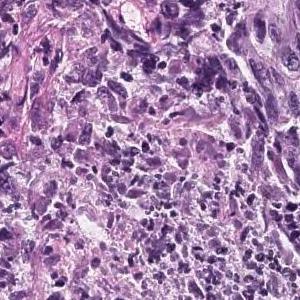
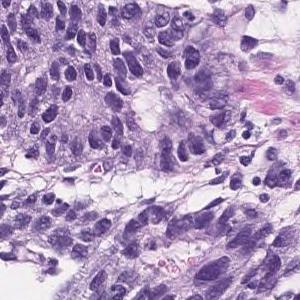
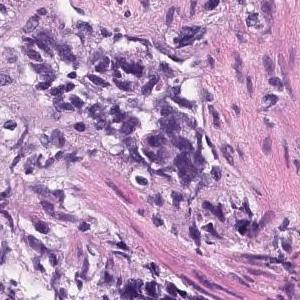
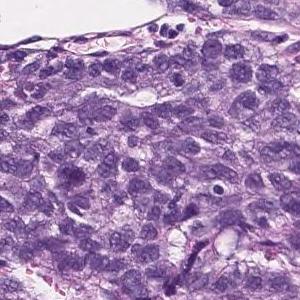
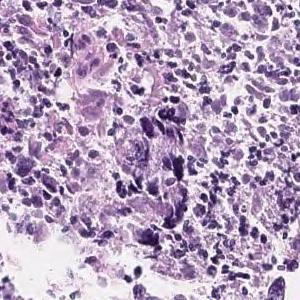
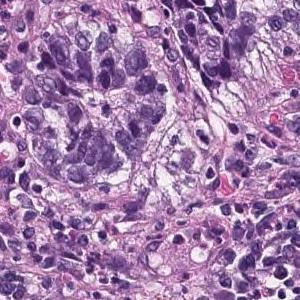
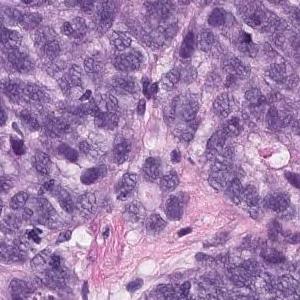
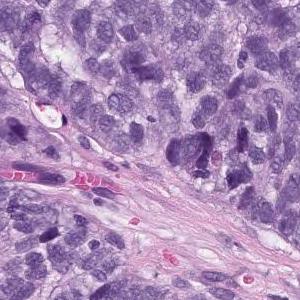
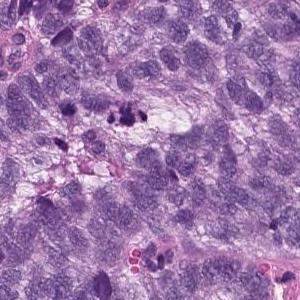
9 patches cut from one gastric biopsy slide; 300×300 px each; 20× magnification; hematoxylin and eosin stain.
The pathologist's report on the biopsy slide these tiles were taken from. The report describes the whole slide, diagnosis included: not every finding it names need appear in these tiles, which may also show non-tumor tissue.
Epithelial cells with swollen nuclei with atypia invasively proliferating while forming vesicles is observed. Poorly differentiated adenocarcinoma
Subtype: Poorly differentiated adenocarcinoma, solid type, a category of the Japanese Classification of Gastric Carcinoma; in the WHO 2019 classification it is tubular adenocarcinoma, poorly differentiated.
